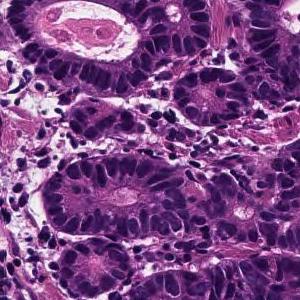
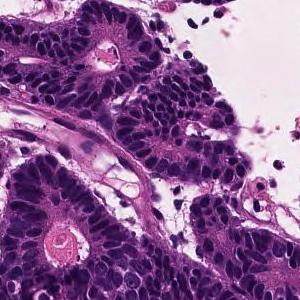
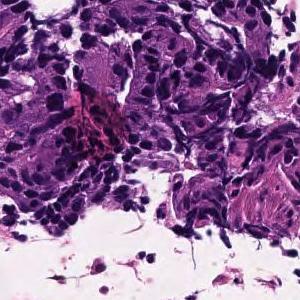
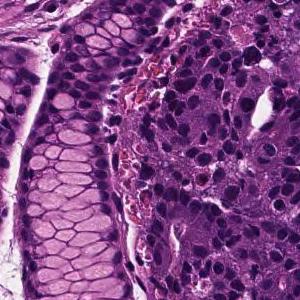
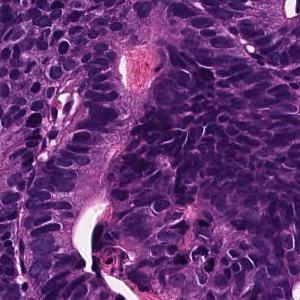
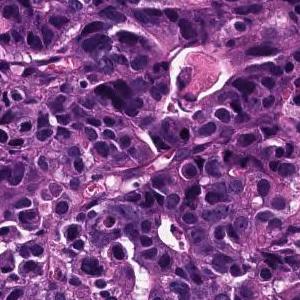
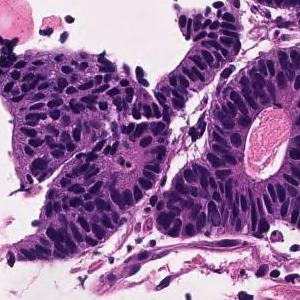
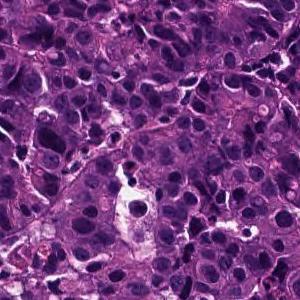
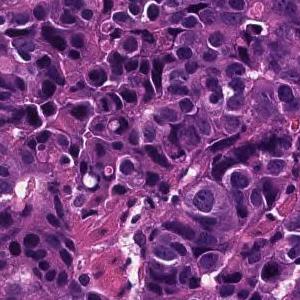
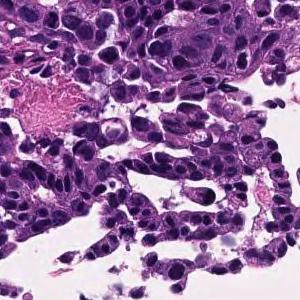
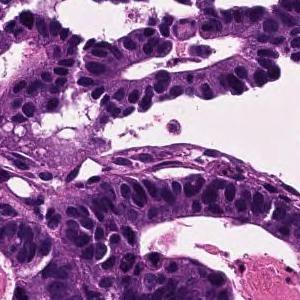
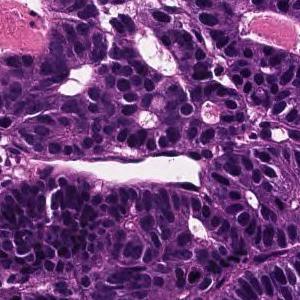
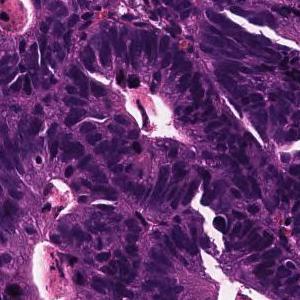
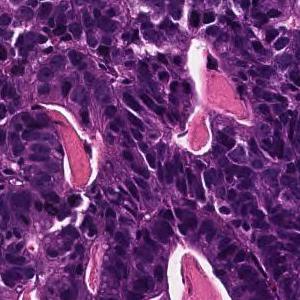
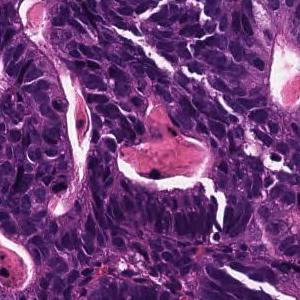
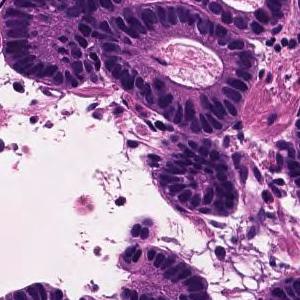
16 patches cut from one gastric biopsy slide.
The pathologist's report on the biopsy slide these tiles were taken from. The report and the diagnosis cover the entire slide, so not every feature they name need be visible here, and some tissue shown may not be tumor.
In the superficial epithelium, tumor tissue that invades by forming medium-sized to small, irregular ducts is observed. moderately differentiated tubular adenocarcinoma.
